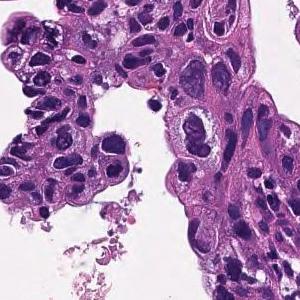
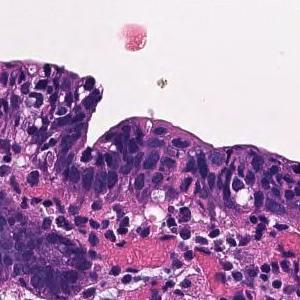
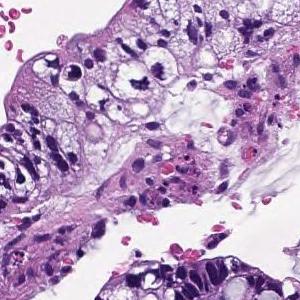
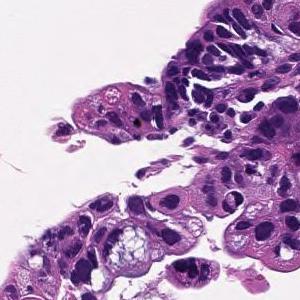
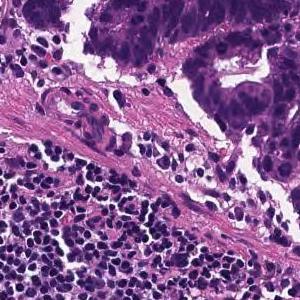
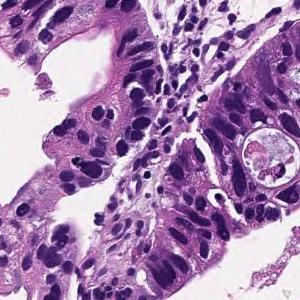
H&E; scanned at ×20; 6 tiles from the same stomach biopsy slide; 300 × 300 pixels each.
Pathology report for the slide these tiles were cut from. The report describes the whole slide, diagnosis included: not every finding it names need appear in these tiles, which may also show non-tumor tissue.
In the superficial epithelium, tumor tissue that invades by forming medium-sized to small, irregular ducts is observed. moderately differentiated tubular adenocarcinoma.
